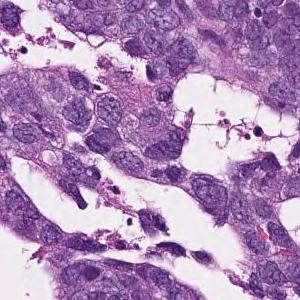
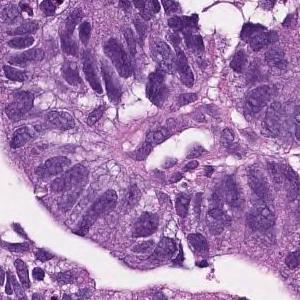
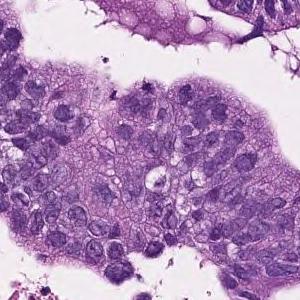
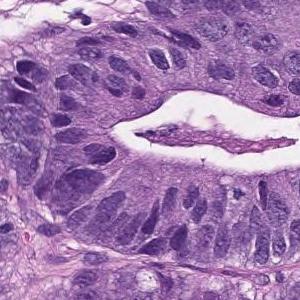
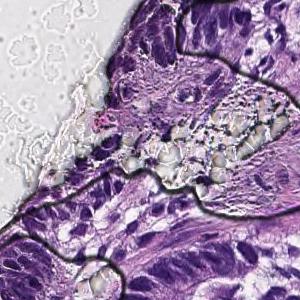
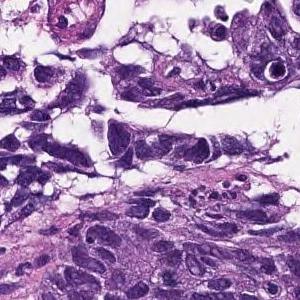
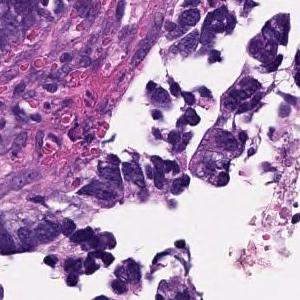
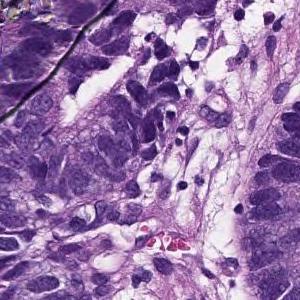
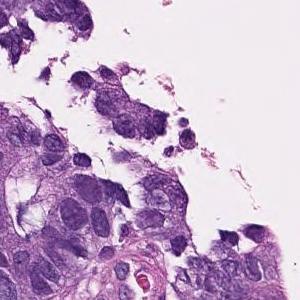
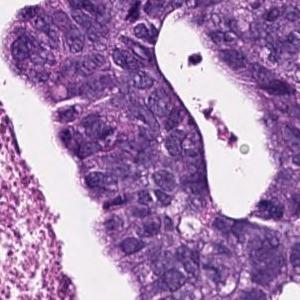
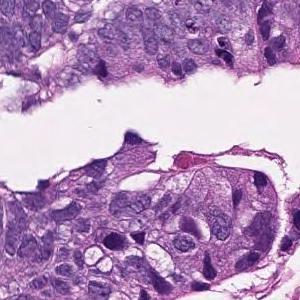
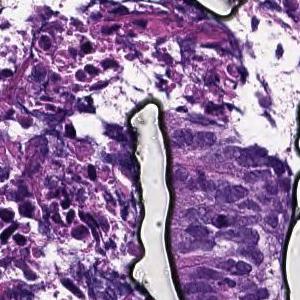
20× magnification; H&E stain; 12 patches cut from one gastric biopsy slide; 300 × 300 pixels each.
Report on the slide these tiles come from. Both the report and the diagnosis are for the whole slide: these tiles need not show every feature named, and some of the tissue shown may not be tumor.
In the superficial epithelium, tumor tissue that invades by forming medium-sized to small, irregular ducts is observed. moderately differentiated tubular adenocarcinoma.
